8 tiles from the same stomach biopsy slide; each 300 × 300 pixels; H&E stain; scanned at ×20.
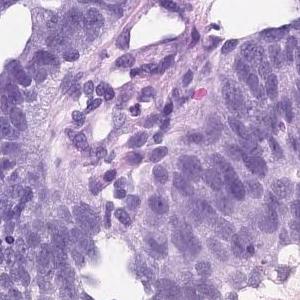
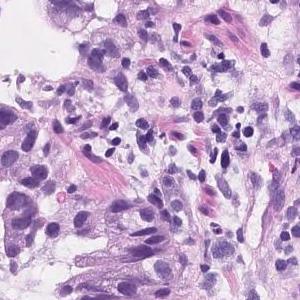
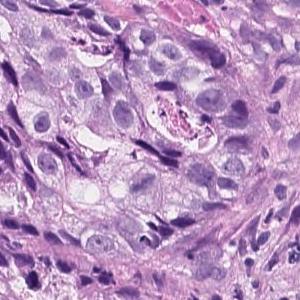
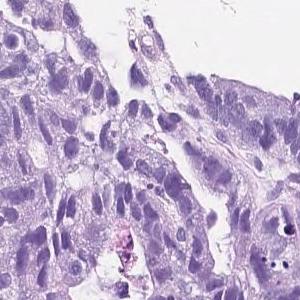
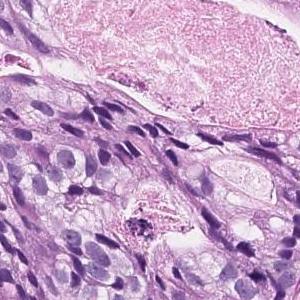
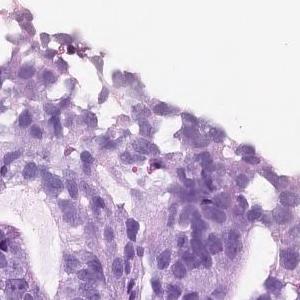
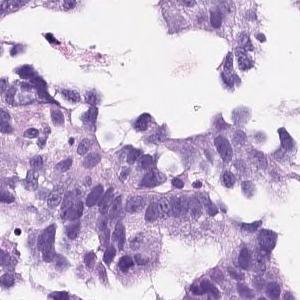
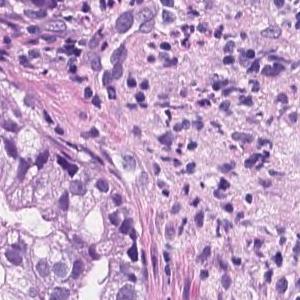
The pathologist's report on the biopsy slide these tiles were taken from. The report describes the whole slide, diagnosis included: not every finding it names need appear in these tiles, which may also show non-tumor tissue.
On the superficial epithelium, tumor tissue consisting of an image of large, irregular glandular ducts partially fused and infiltrated is observed. Well to moderately differentiated tubular adenocarcinoma
